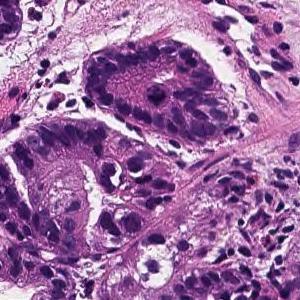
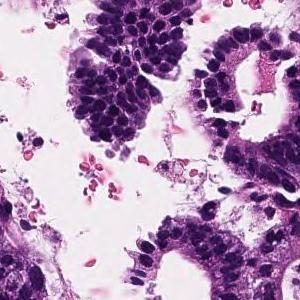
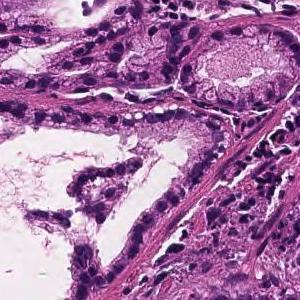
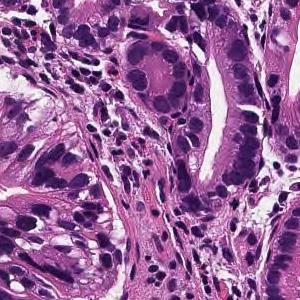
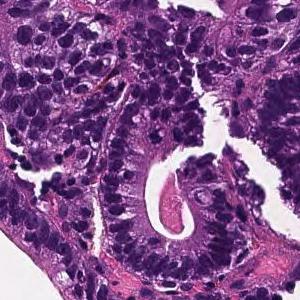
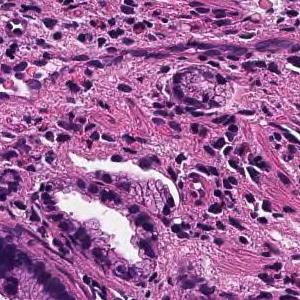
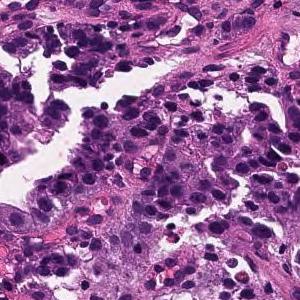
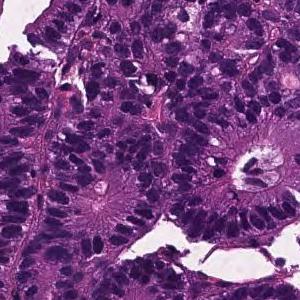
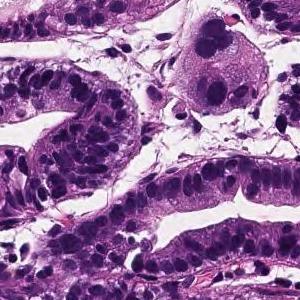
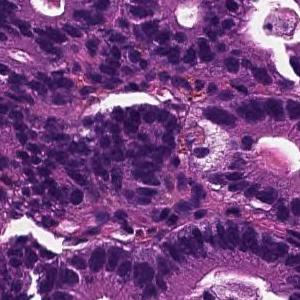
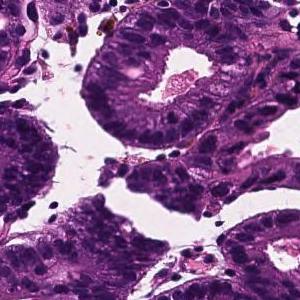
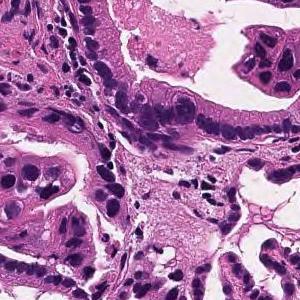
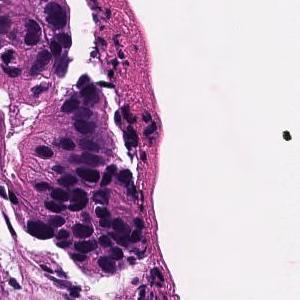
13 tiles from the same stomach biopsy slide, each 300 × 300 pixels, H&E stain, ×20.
The pathologist's report on the biopsy slide these tiles were taken from. The report describes the whole slide, diagnosis included: not every finding it names need appear in these tiles, which may also show non-tumor tissue.
From the superficial epithelium to the muscularis mucosae, tumor tissue consisting of medium-sized and irregular glandular ducts infiltrating is observed. Well differentiated tubular adenocarcinoma
